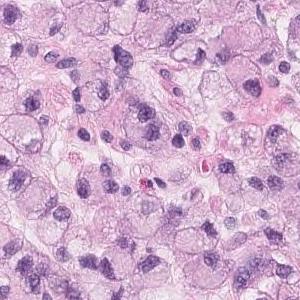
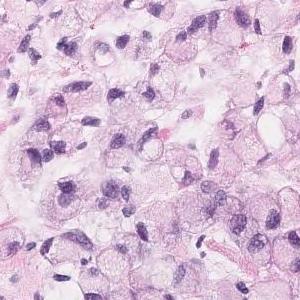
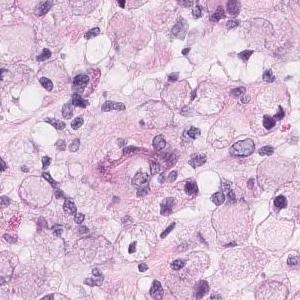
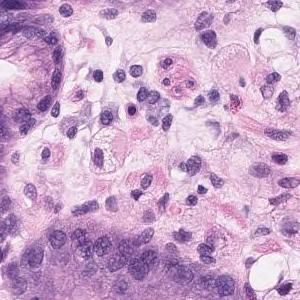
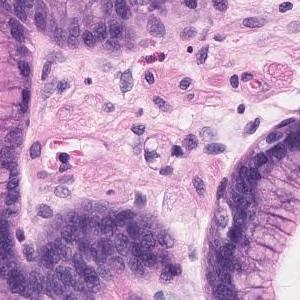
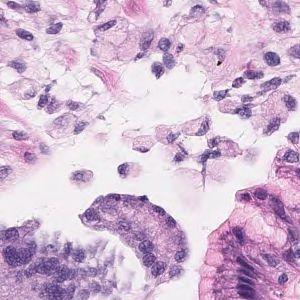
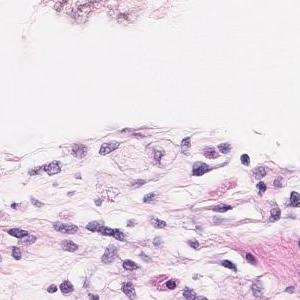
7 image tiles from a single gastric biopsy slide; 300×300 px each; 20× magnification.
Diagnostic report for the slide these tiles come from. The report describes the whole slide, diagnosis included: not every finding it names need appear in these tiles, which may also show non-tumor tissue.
In the lamina propria, atypical epithelial cells that store mucus and lack connectivity proliferate diffusely. Adenocarcinoma. Signet ring cell carcinoma.
